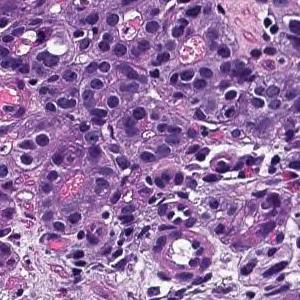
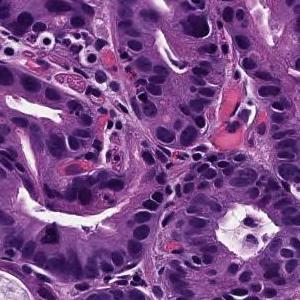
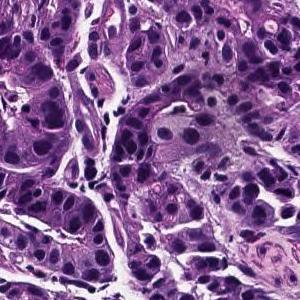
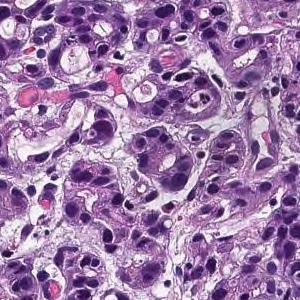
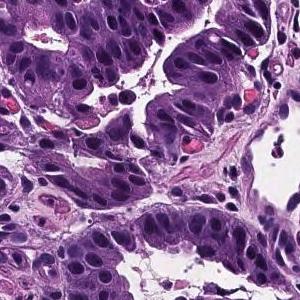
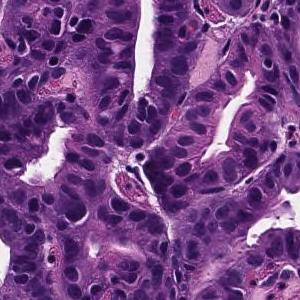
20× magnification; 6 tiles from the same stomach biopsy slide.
Pathology report for the biopsy slide these tiles were cut from. The report and the diagnosis describe the slide as a whole, so these tiles may not show every feature named and may include non-tumor tissue.
From the superficial epithelium to the muscularis mucosae, tumor tissue consisting of medium-sized and irregular glandular ducts infiltrating is observed. Well differentiated tubular adenocarcinoma
